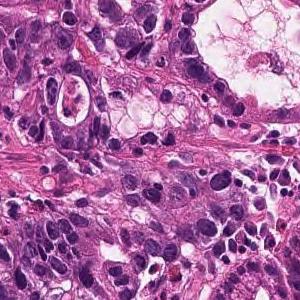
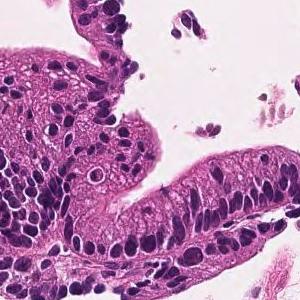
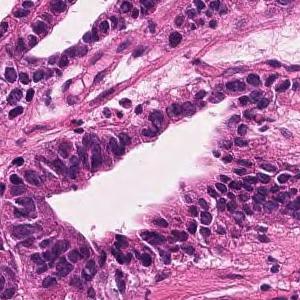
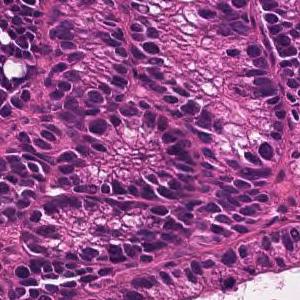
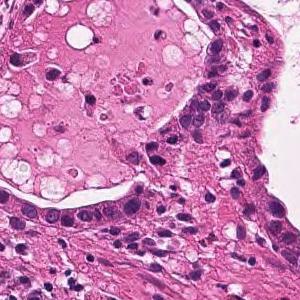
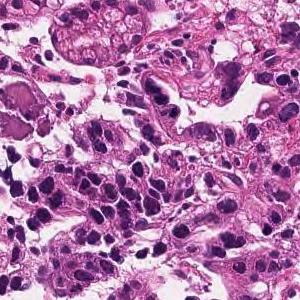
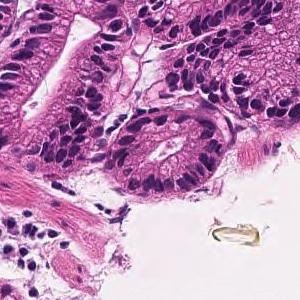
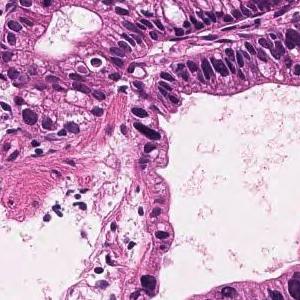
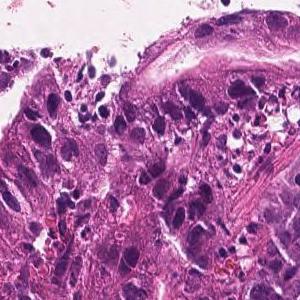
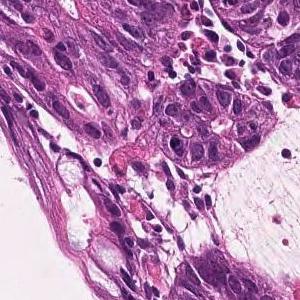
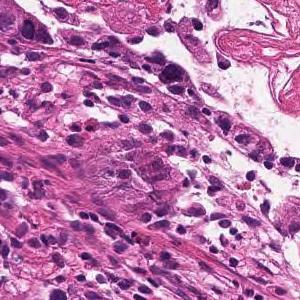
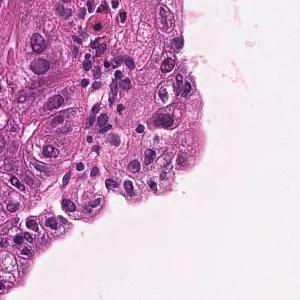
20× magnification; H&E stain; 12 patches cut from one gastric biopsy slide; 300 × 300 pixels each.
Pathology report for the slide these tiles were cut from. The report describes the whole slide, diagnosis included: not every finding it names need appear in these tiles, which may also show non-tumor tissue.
In the superficial epithelium, tumor tissue that invades by forming medium-sized to small, irregular ducts is observed. moderately differentiated tubular adenocarcinoma.
